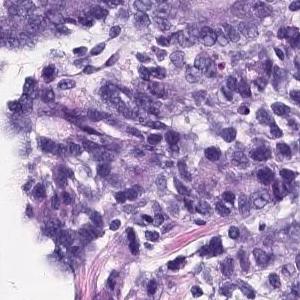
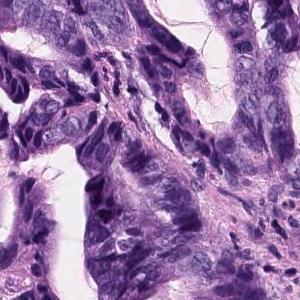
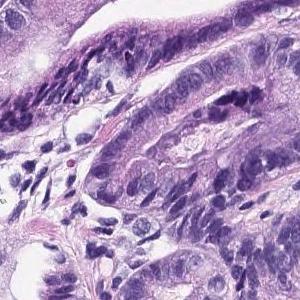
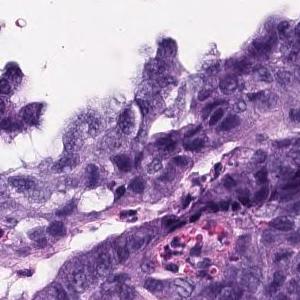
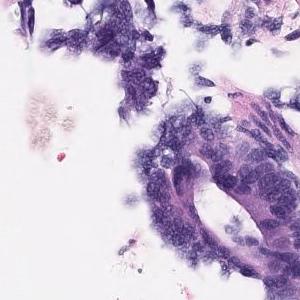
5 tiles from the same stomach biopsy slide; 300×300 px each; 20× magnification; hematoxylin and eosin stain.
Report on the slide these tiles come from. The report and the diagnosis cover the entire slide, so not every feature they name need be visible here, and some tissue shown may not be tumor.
In the superficial epithelium, tumor tissue that invades by forming medium-sized to small, irregular ducts is observed. Well to moderately differentiated tubular adenocarcinoma.
